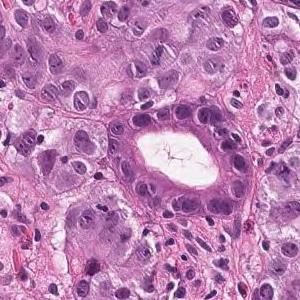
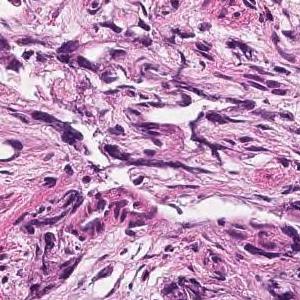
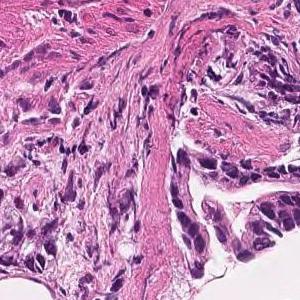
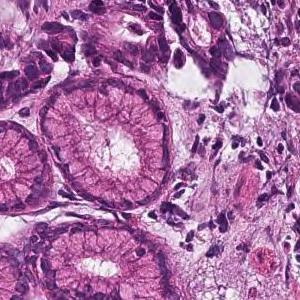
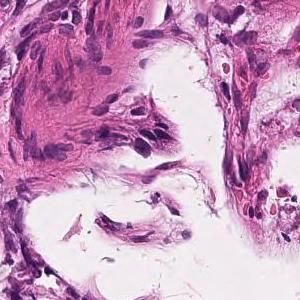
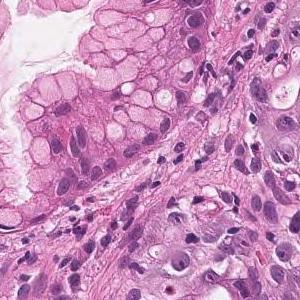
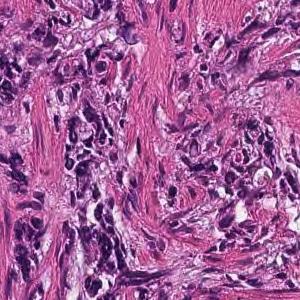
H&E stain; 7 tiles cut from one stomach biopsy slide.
The pathologist's report on the biopsy slide these tiles were taken from. What the report and the diagnosis say applies to the whole slide; these tiles may miss some of the features named and may include tissue that is not tumor.
In the gastric mucosal tissue, tumor tissue that forms irregular glandular cavities of medium to small size or shows small cords and infiltrates is observed. moderately differentiated tubular adenocarcinoma
